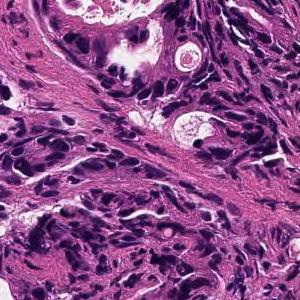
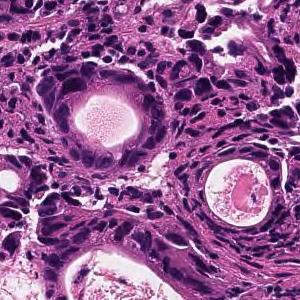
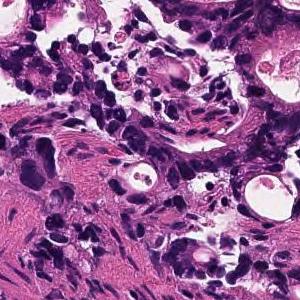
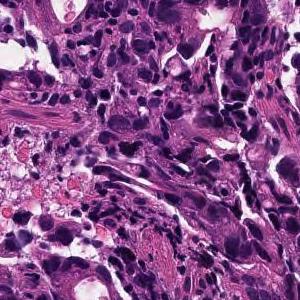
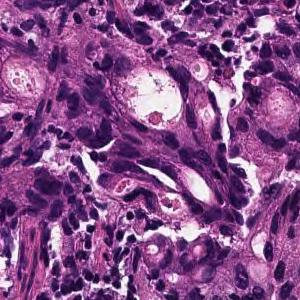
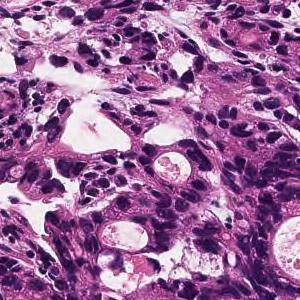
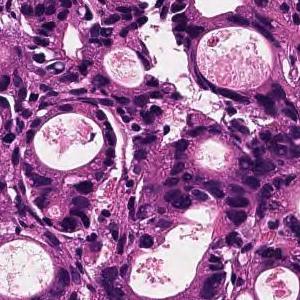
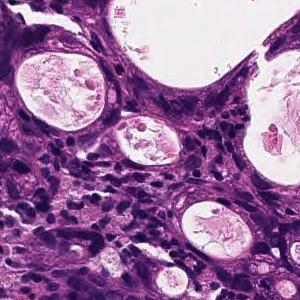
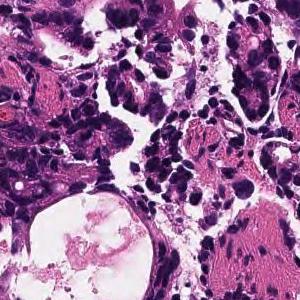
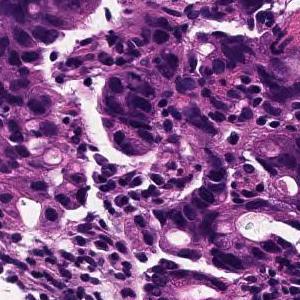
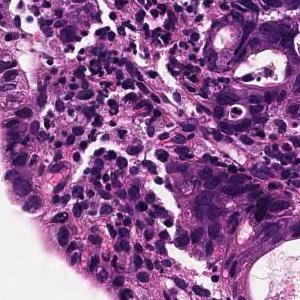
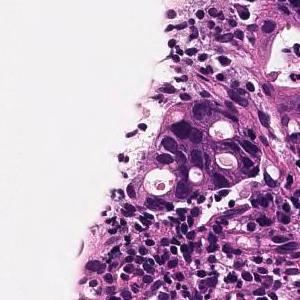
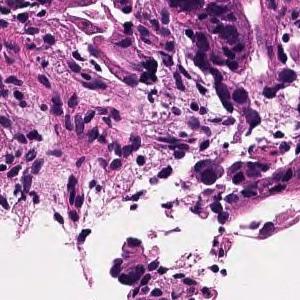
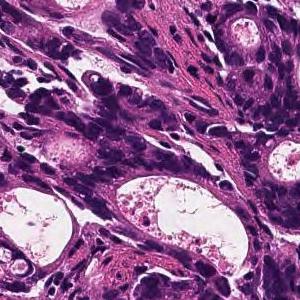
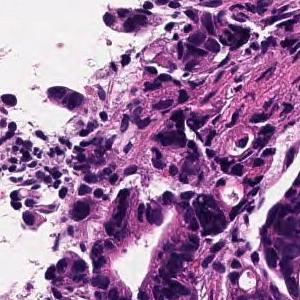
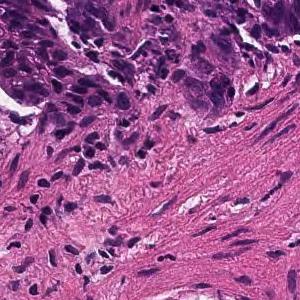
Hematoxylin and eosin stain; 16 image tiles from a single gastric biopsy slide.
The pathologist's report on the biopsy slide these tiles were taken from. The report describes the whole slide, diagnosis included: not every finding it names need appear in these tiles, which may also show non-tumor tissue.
In the superficial epithelium, tumor tissue that invades by forming medium-sized to small, irregular ducts is observed. moderately differentiated tubular adenocarcinoma.
